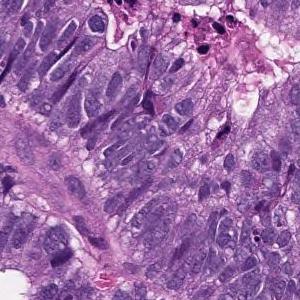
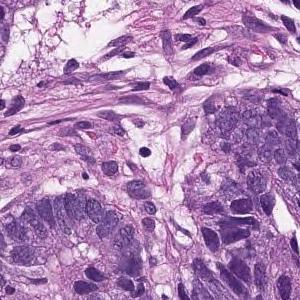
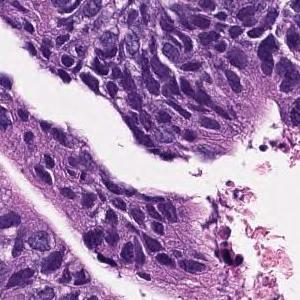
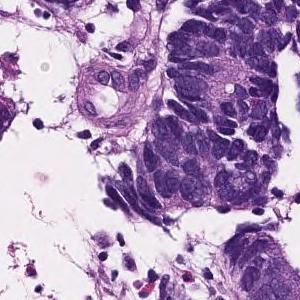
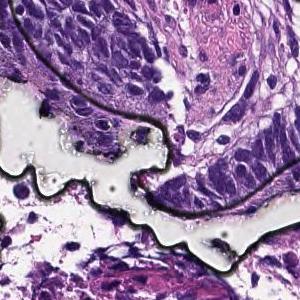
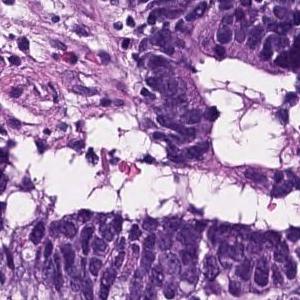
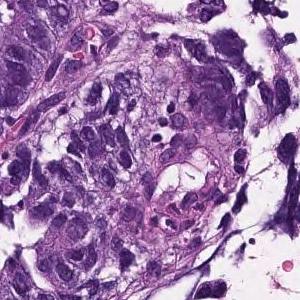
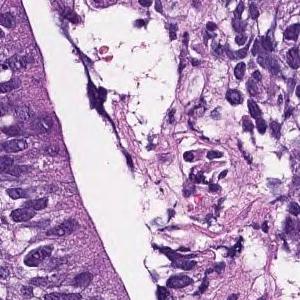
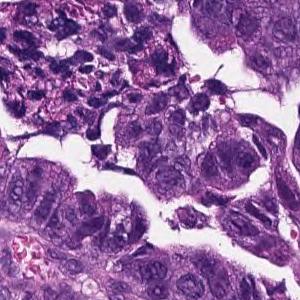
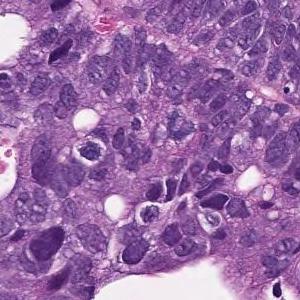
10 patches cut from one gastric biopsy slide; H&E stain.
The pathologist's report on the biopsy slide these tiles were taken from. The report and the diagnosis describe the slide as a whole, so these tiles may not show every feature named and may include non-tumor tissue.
In the superficial epithelium, tumor tissue that invades by forming medium-sized to small, irregular ducts is observed. moderately differentiated tubular adenocarcinoma.
